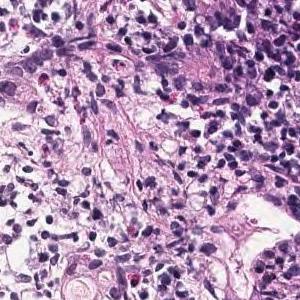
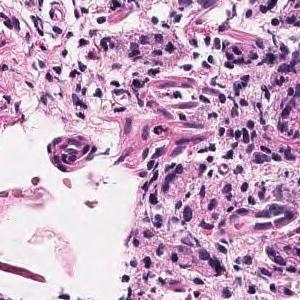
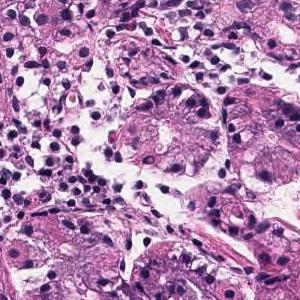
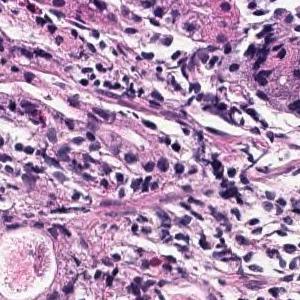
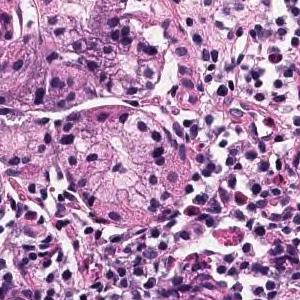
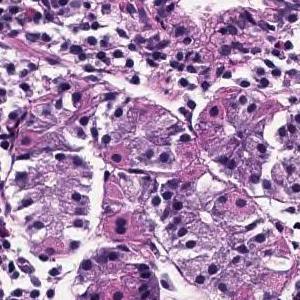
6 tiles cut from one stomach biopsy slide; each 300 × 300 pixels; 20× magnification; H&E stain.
Pathology report for the biopsy slide these tiles were cut from. The findings and the diagnosis refer to the entire slide; these tiles show only part of it, possibly with non-tumor tissue, and may not show every feature named.
Tumor tissue that grows and grows is observed, showing a medium-sized round or irregular duct. moderately differentiated tubular adenocarcinoma
